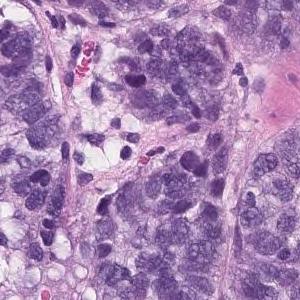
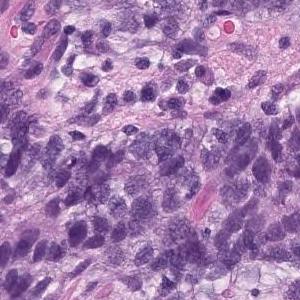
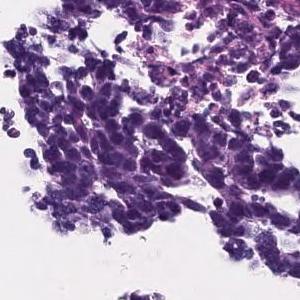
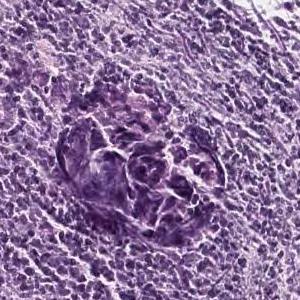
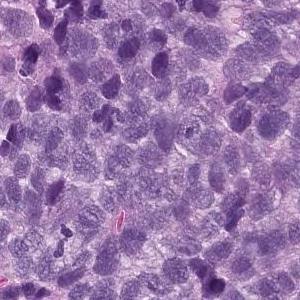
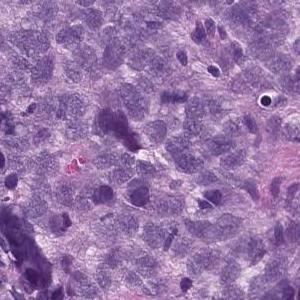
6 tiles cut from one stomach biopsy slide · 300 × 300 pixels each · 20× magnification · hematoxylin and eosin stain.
The pathologist's report on the biopsy slide these tiles were taken from. The findings and the diagnosis refer to the entire slide; these tiles show only part of it, possibly with non-tumor tissue, and may not show every feature named.
Epithelial cells with swollen nuclei with atypia invasively proliferating while forming vesicles is observed. Poorly differentiated adenocarcinoma
Tumor subtype: poorly differentiated adenocarcinoma, solid type, a category of the Japanese Classification of Gastric Carcinoma; in the WHO 2019 classification it is tubular adenocarcinoma, poorly differentiated.
